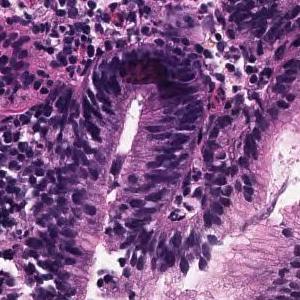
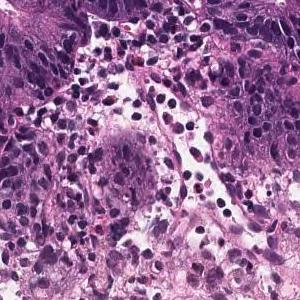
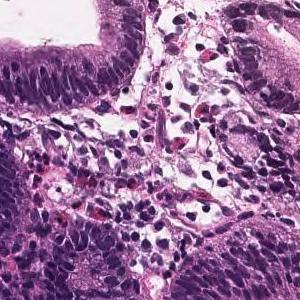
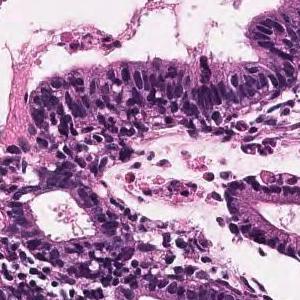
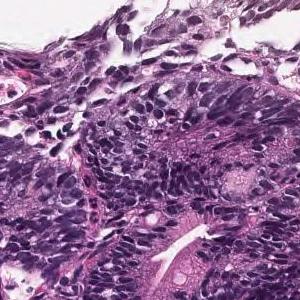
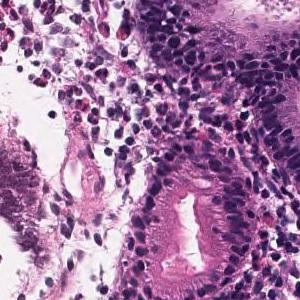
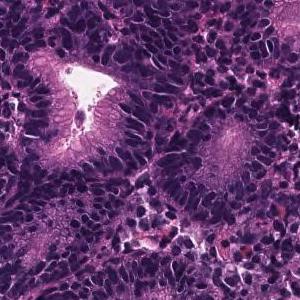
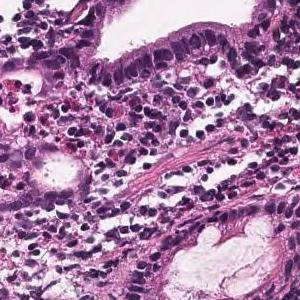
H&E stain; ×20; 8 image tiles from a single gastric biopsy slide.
Report on the slide these tiles come from. The findings and the diagnosis refer to the entire slide; these tiles show only part of it, possibly with non-tumor tissue, and may not show every feature named.
Atypical epithelium with swelling of the nucleus and pseudostratified shows tumor tissue that grows with irregular branching. Well differentiated tubular adenocarcinoma
